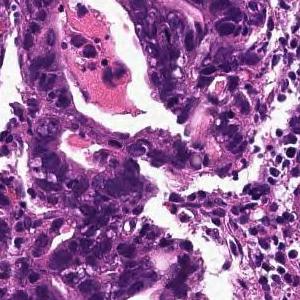
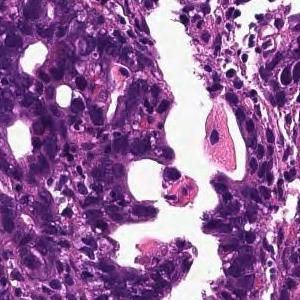
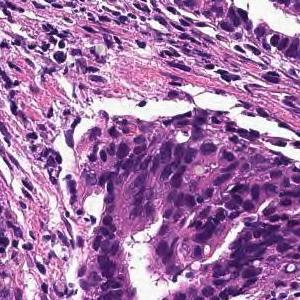
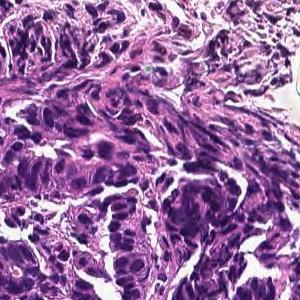
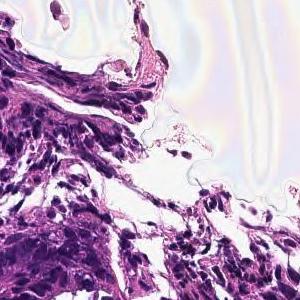
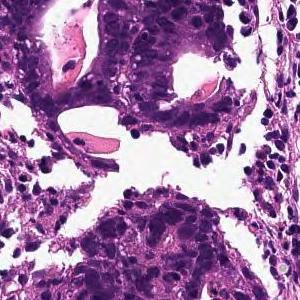
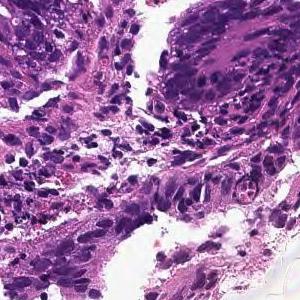
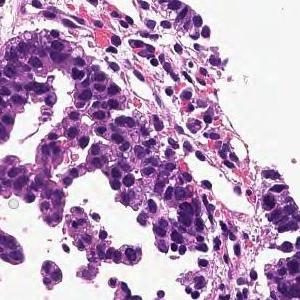
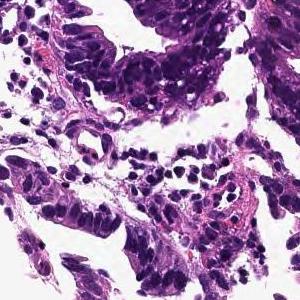
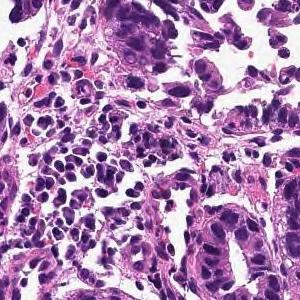
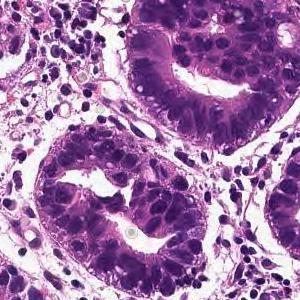
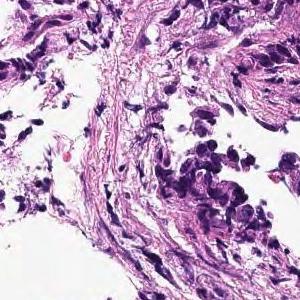
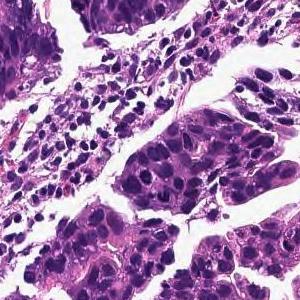
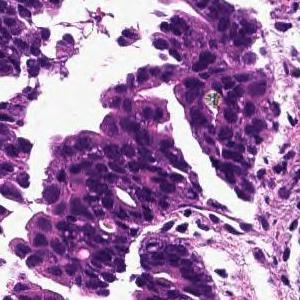
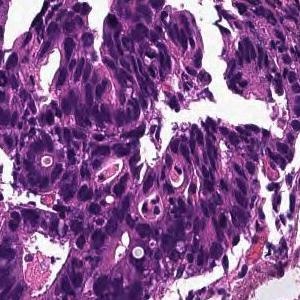
15 image tiles from a single gastric biopsy slide, 300 × 300 pixels each, H&E stain.
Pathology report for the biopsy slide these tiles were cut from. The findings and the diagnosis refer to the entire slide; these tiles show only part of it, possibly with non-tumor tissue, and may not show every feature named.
In the superficial epithelium, tumor tissue that invades by forming medium-sized to small, irregular ducts is observed. moderately differentiated tubular adenocarcinoma.
